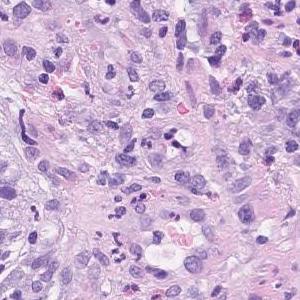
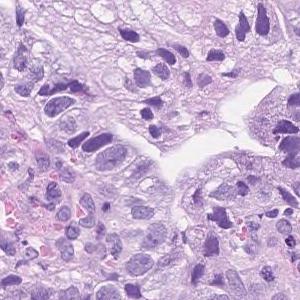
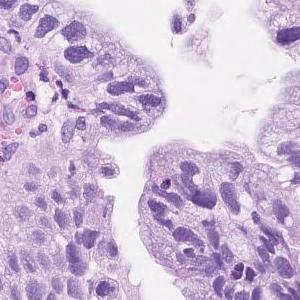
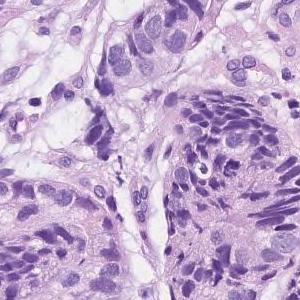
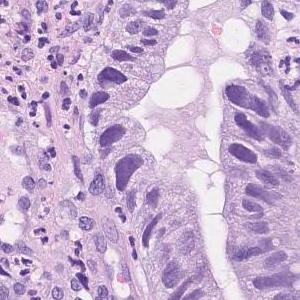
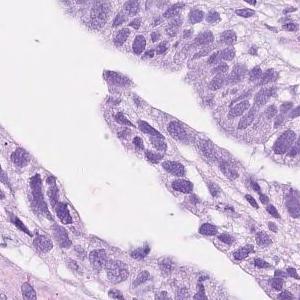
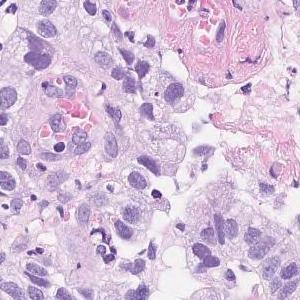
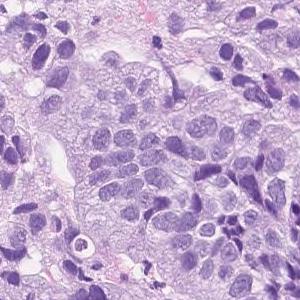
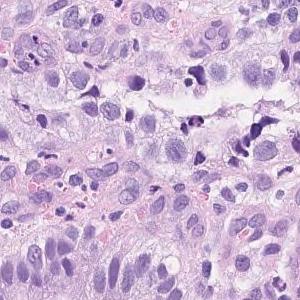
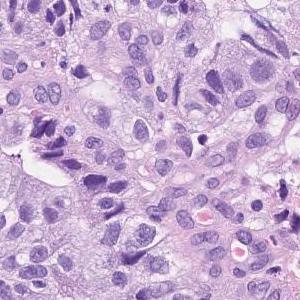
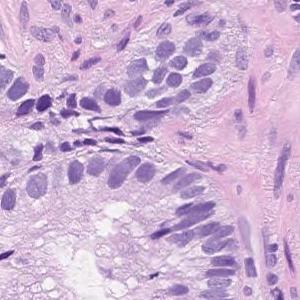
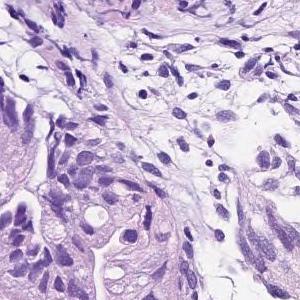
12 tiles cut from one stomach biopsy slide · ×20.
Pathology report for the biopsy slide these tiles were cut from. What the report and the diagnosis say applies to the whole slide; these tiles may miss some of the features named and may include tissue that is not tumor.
Atypical l cells with atypical nuclei forming solid or diffuse vesicles or small irregular atypical ducts and growing in a complex manner. moderately differentiated tubular adenocarcinoma
